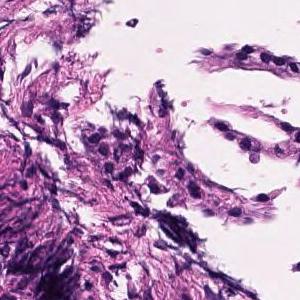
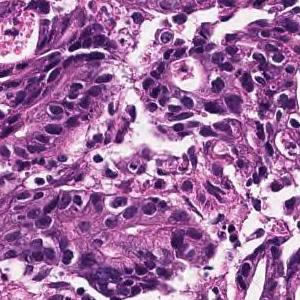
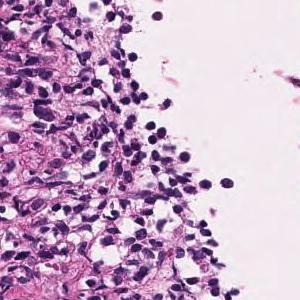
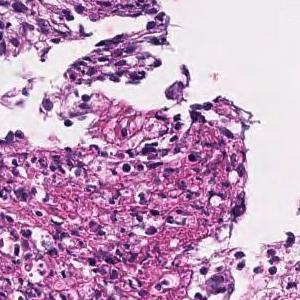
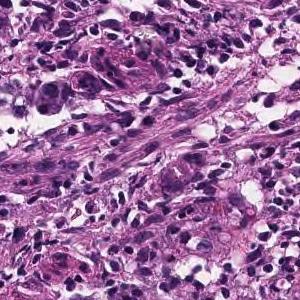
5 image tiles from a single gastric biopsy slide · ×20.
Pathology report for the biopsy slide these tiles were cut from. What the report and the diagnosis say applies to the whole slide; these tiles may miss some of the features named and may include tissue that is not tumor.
In the superficial epithelium, medium to small, irregular gland ducts are formed, and in some cases, the gland ducts are fused to show solid alveolar lesions and infiltrating tumor tissue is observed. Moderately to poorly differentiated adenocarcinoma.
